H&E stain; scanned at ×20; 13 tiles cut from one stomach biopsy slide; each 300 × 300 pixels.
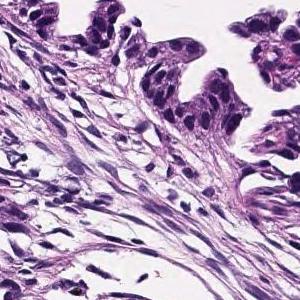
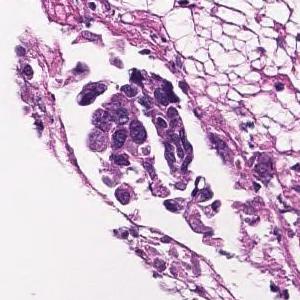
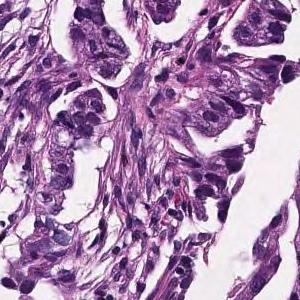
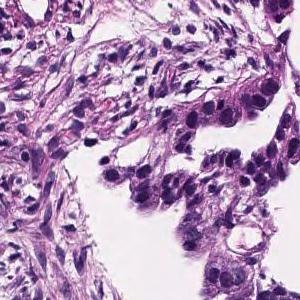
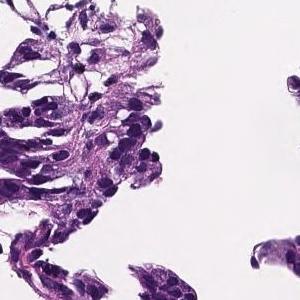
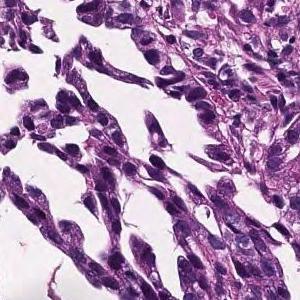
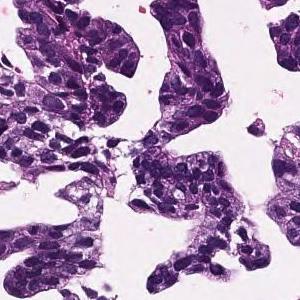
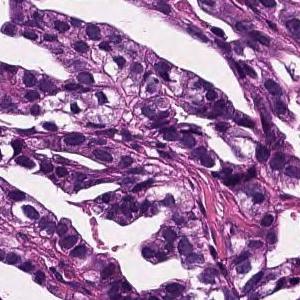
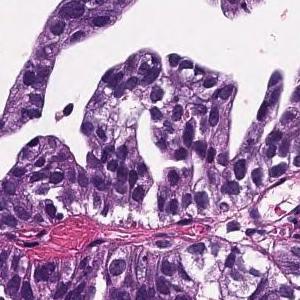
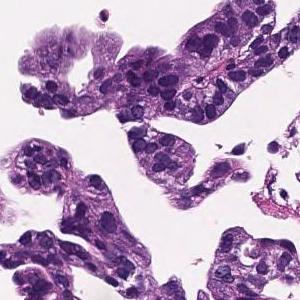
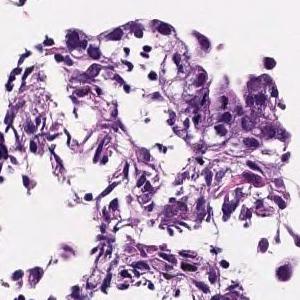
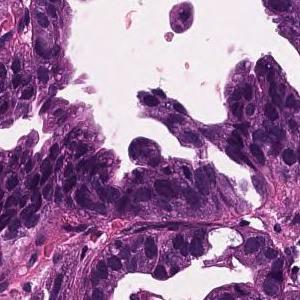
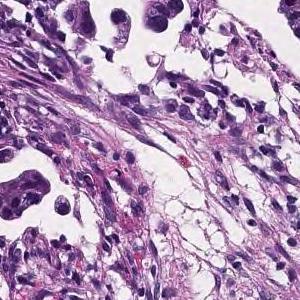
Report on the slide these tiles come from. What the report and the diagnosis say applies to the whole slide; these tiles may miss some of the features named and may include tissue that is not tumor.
In the lamina propria, tumor tissue that invades by forming medium-sized to small, irregular glandular ducts is observed. moderately differentiated tubular adenocarcinoma
